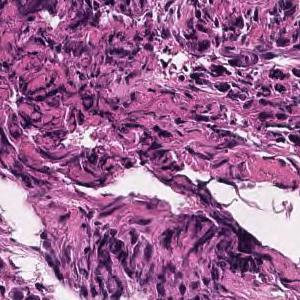
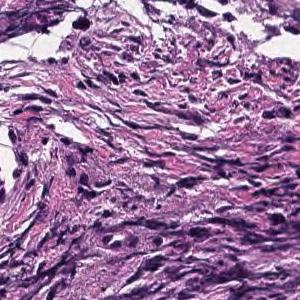
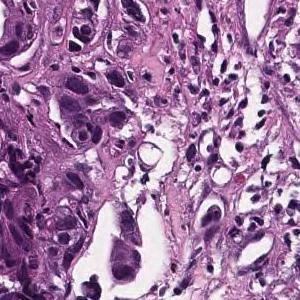
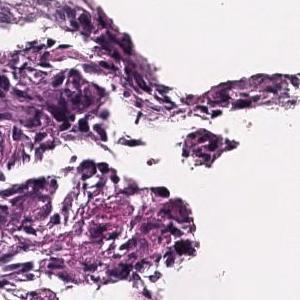
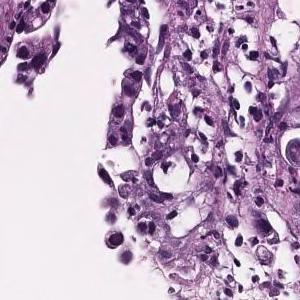
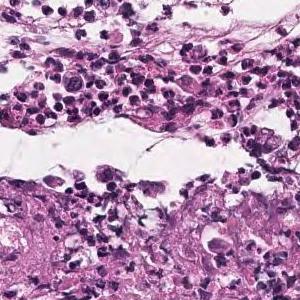
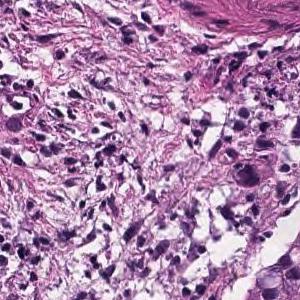
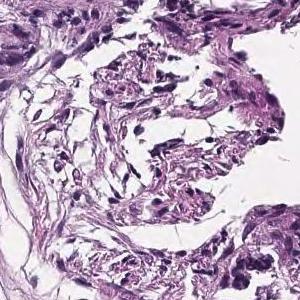
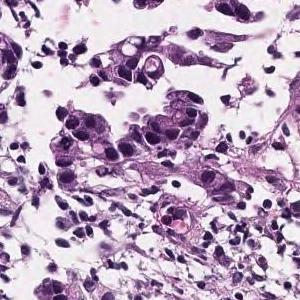
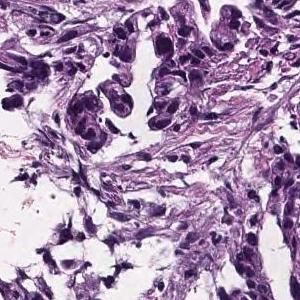
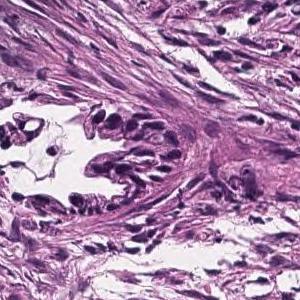
11 tiles from the same stomach biopsy slide; 300×300 px each; scanned at ×20.
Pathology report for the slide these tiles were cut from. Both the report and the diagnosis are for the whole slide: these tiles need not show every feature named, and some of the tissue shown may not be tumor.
In the superficial epithelium, tumor tissue that invades by forming medium-sized to small, irregular ducts is observed. moderately differentiated tubular adenocarcinoma.
